H&E; 20× magnification; 5 image tiles from a single gastric biopsy slide.
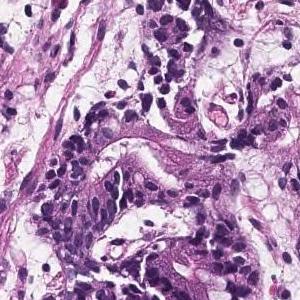
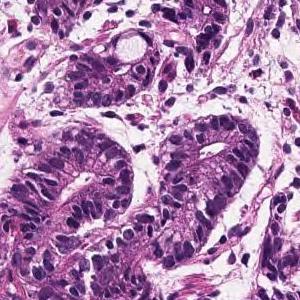
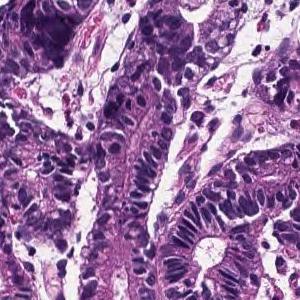
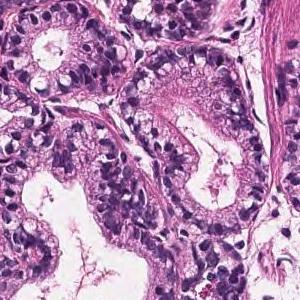
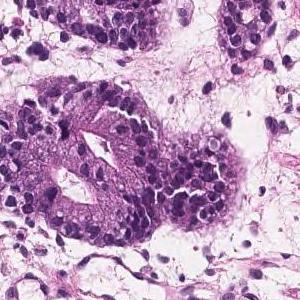
Pathology report for the slide these tiles were cut from. The report and the diagnosis cover the entire slide, so not every feature they name need be visible here, and some tissue shown may not be tumor.
In the superficial epithelium, tumor tissue that invades by forming medium-sized to small, irregular ducts is observed. Well differentiated tubular adenocarcinoma.
